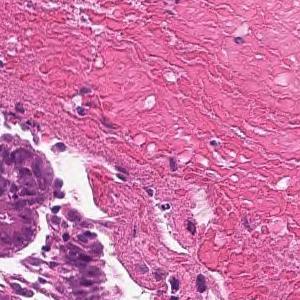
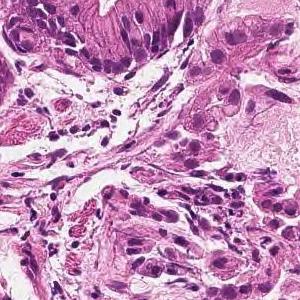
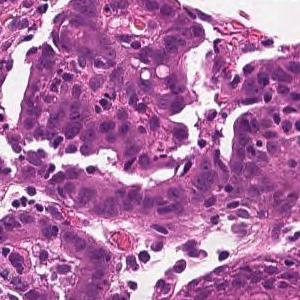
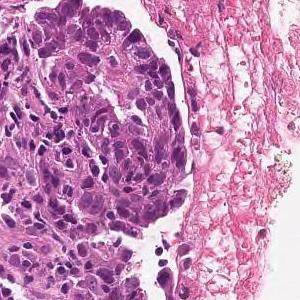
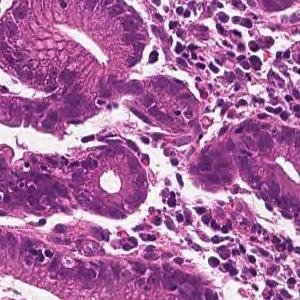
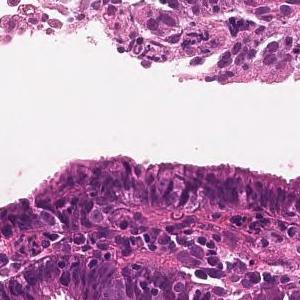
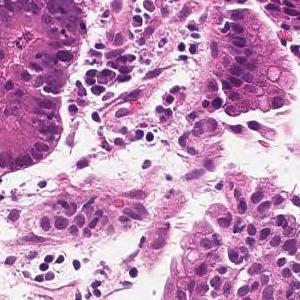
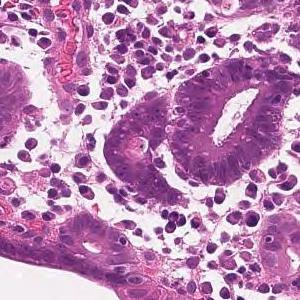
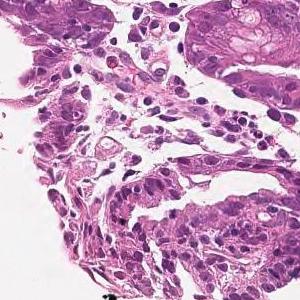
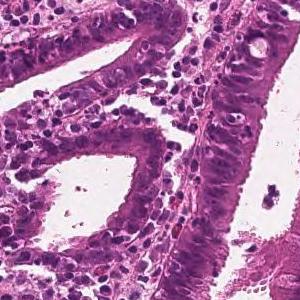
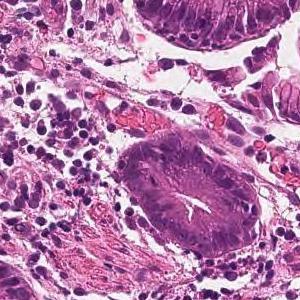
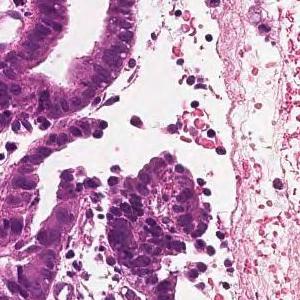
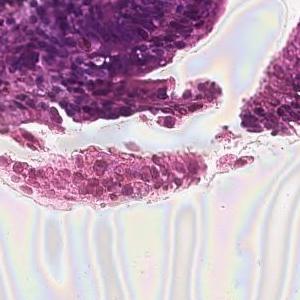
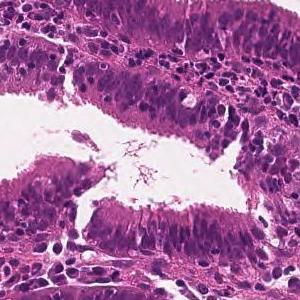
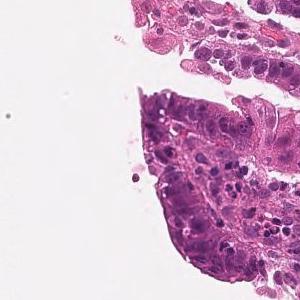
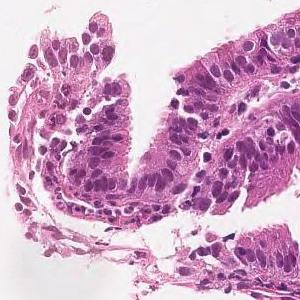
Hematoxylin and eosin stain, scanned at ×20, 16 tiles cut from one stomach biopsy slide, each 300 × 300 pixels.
Diagnostic report for the slide these tiles come from. The report describes the whole slide, diagnosis included: not every finding it names need appear in these tiles, which may also show non-tumor tissue.
On the superficial epithelium, tumor tissue is found in which medium-sized irregular gland ducts fuse with each other and infiltrate. moderately differentiated tubular adenocarcinoma
